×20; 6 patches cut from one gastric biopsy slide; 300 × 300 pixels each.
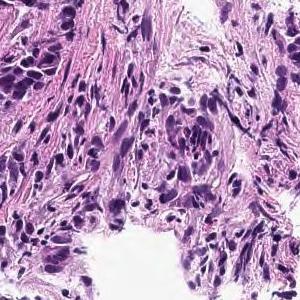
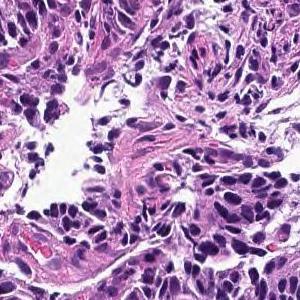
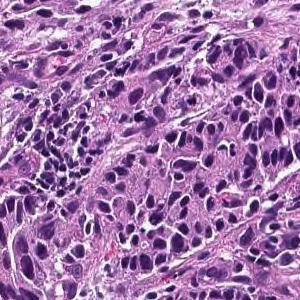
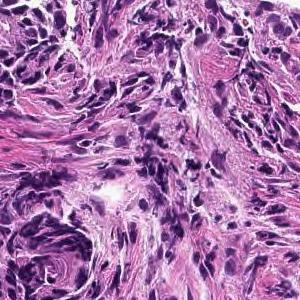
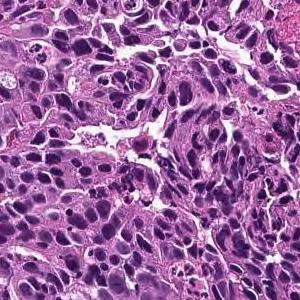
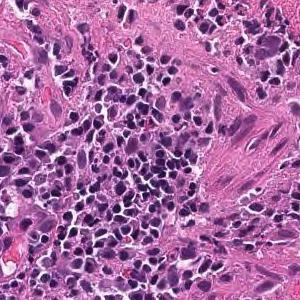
Report on the slide these tiles come from. The report and the diagnosis cover the entire slide, so not every feature they name need be visible here, and some tissue shown may not be tumor.
In the superficial epithelium, tumor tissue that invades by forming medium-sized to small, irregular ducts is observed. moderately differentiated tubular adenocarcinoma.
